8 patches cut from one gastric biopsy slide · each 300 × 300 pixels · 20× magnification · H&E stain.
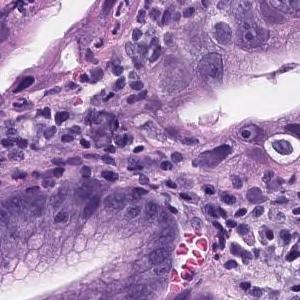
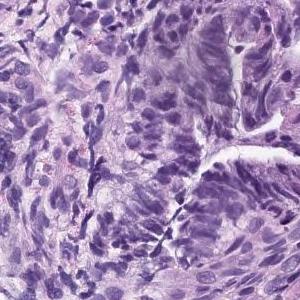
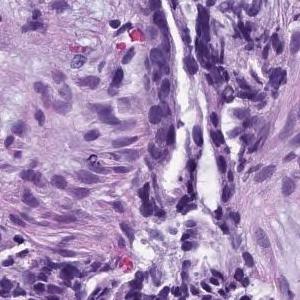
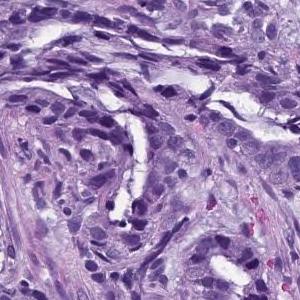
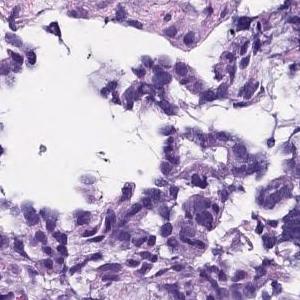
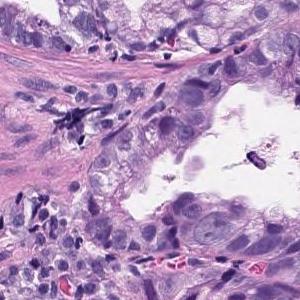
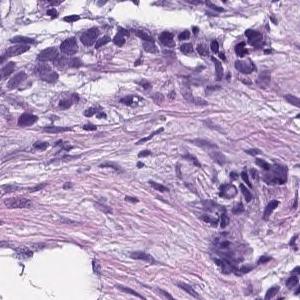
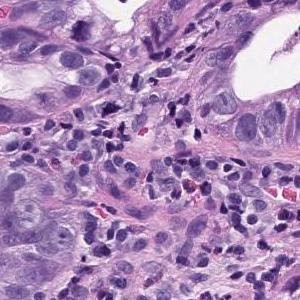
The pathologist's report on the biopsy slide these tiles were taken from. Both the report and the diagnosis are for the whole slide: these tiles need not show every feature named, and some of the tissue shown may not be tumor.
In the superficial epithelium, tumor tissue that invades by forming medium-sized to small, irregular ducts is observed. Moderately differentiated adenocarcinoma.
Histological subtype: Moderately differentiated tubular adenocarcinoma.
